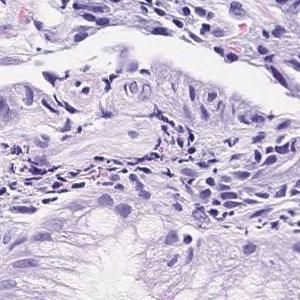
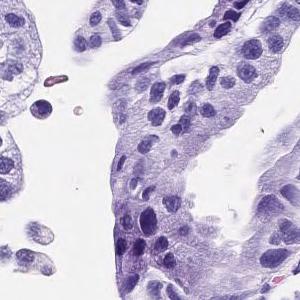
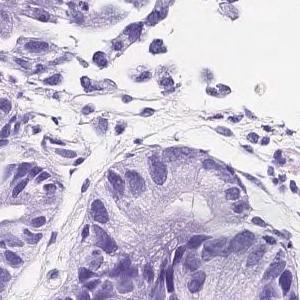
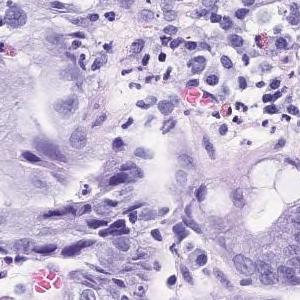
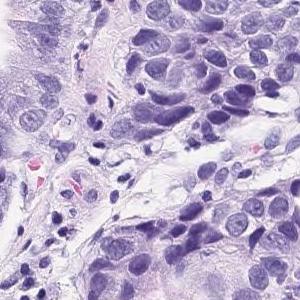
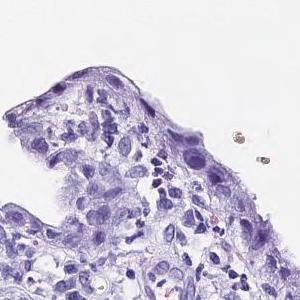
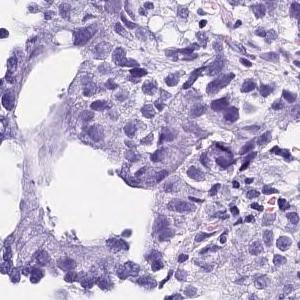
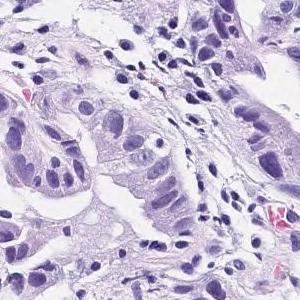
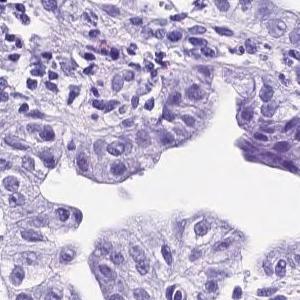
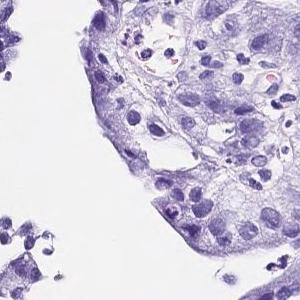
H&E stain, 10 tiles cut from one stomach biopsy slide, each 300 × 300 pixels.
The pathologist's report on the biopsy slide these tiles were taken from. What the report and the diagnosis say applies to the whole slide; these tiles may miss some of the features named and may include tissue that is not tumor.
Tumor tissue consisting of medium-sized and irregular ducts is observed infiltrating in the superficial epithelium. Tumor cells are highly columnar, with nuclei aligned basolaterally and polarized. Well differentiated tubular adenocarcinoma.
